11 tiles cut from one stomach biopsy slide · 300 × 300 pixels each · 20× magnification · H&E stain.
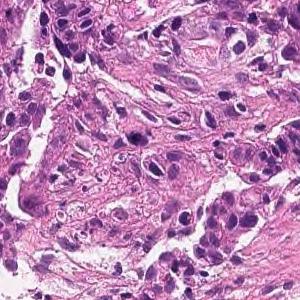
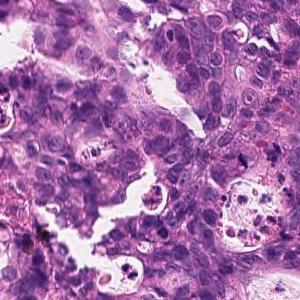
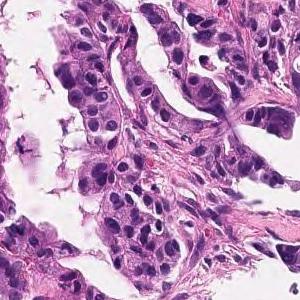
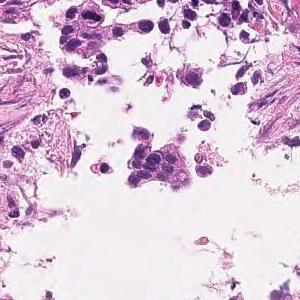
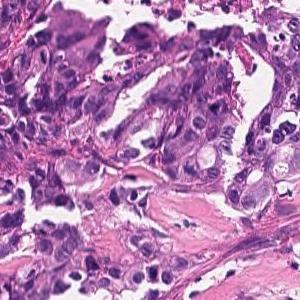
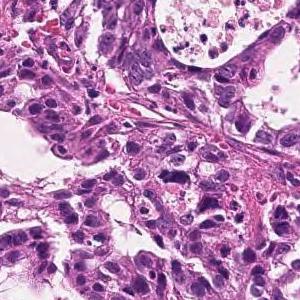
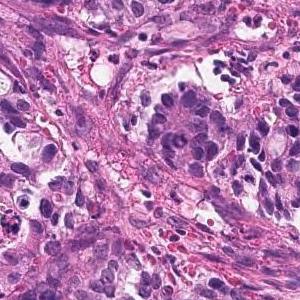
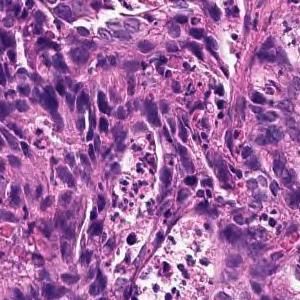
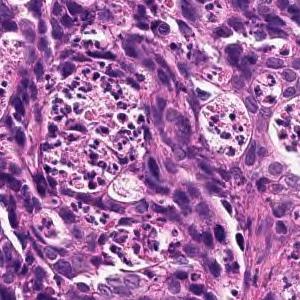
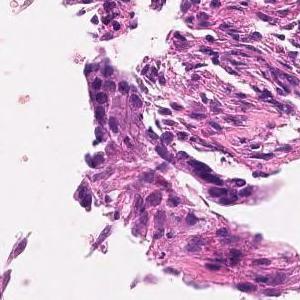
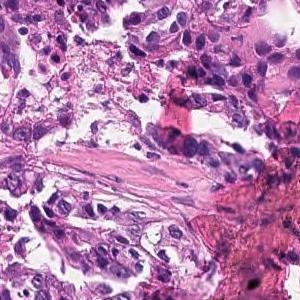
Pathology report for the slide these tiles were cut from. What the report and the diagnosis say applies to the whole slide; these tiles may miss some of the features named and may include tissue that is not tumor.
On the superficial epithelium, tumor tissue consisting of images of small to medium-sized and irregular tubules infiltrating with irregular fusion is observed. moderately differentiated tubular adenocarcinoma
